5 image tiles from a single gastric biopsy slide · 300 × 300 pixels each · H&E · scanned at ×20.
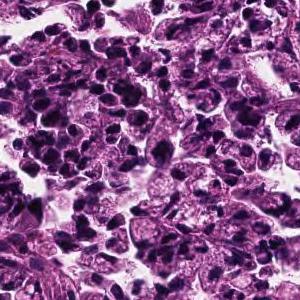
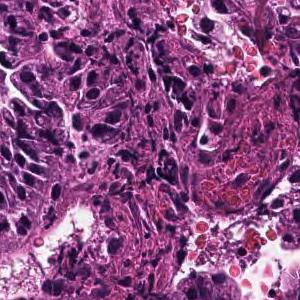
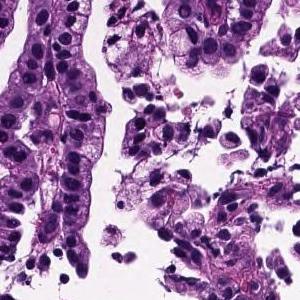
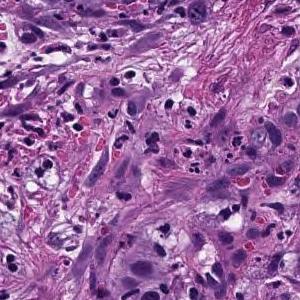
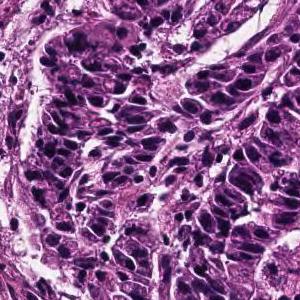
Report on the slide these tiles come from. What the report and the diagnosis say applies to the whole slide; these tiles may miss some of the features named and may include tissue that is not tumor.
Tumor cells are large, highly columnar, large club-shaped nuclei, and are associated with chromatin aggregation. Papillary adenocarcinoma.
